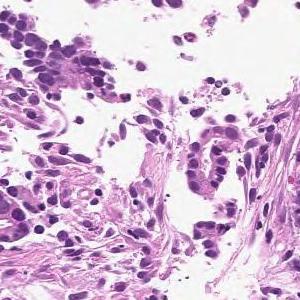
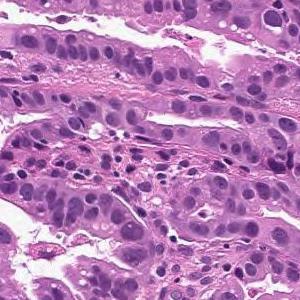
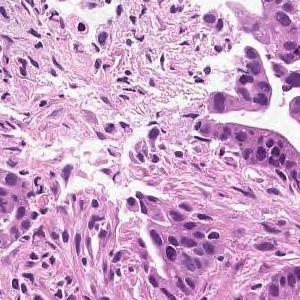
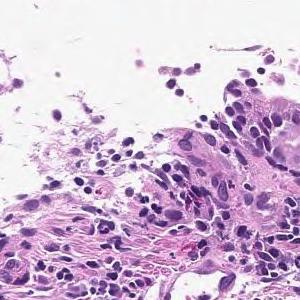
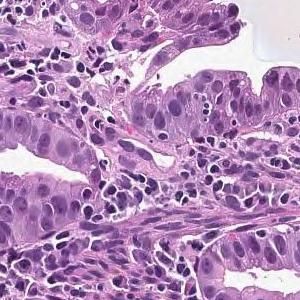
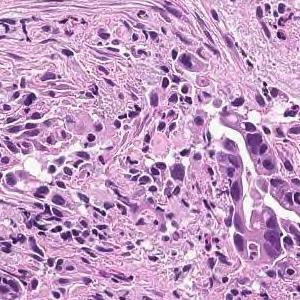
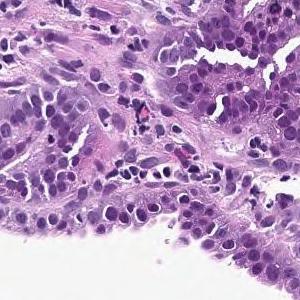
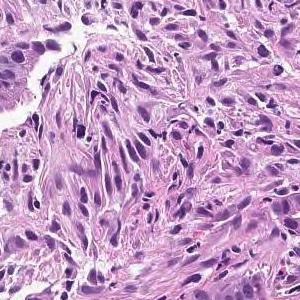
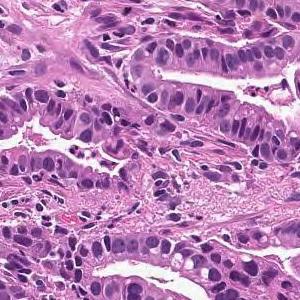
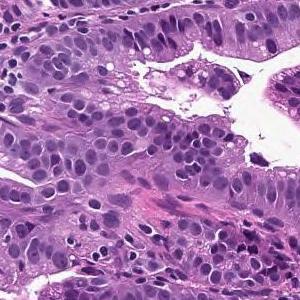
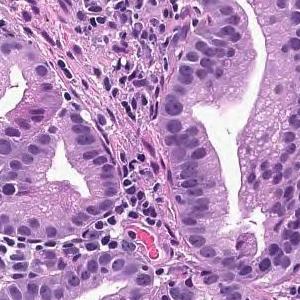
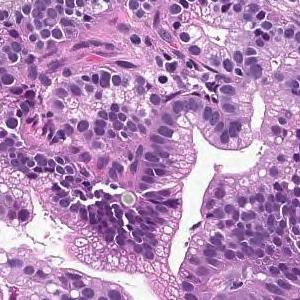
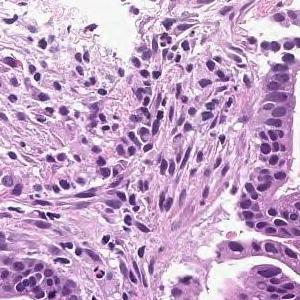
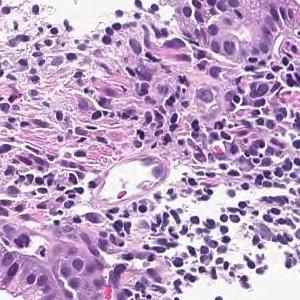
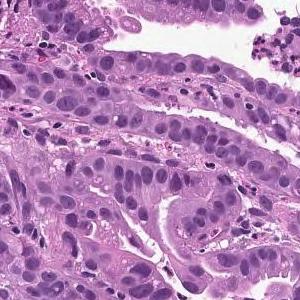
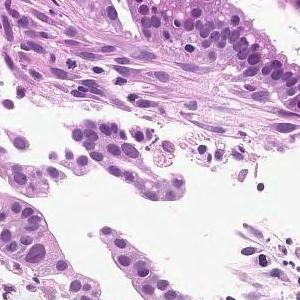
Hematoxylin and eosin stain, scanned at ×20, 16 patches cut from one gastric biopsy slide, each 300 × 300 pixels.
The pathologist's report on the biopsy slide these tiles were taken from. What the report and the diagnosis say applies to the whole slide; these tiles may miss some of the features named and may include tissue that is not tumor.
On the superficial epithelium, tumor tissue that infiltrates by forming medium-sized papillary or small irregular ducts is observed. Papillary adenocarcinoma
